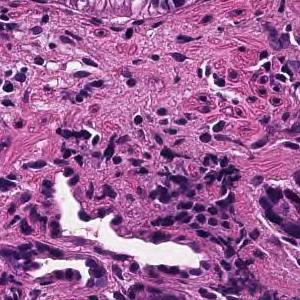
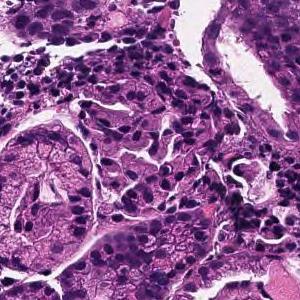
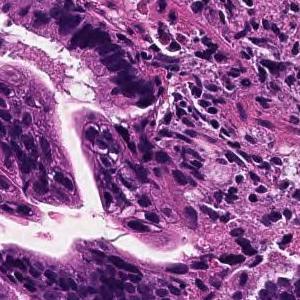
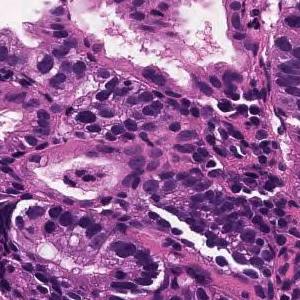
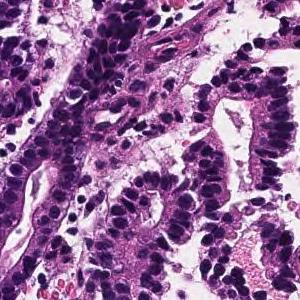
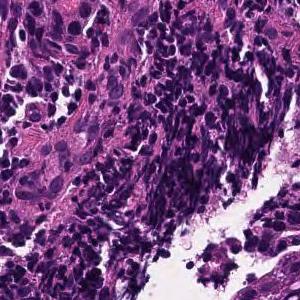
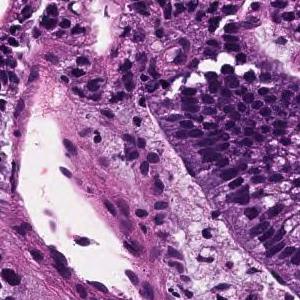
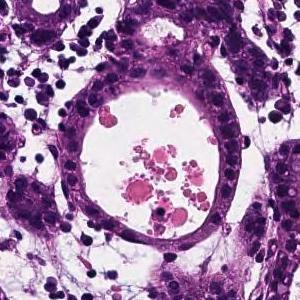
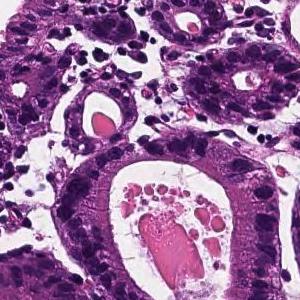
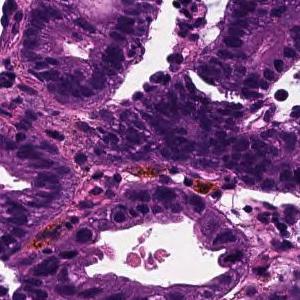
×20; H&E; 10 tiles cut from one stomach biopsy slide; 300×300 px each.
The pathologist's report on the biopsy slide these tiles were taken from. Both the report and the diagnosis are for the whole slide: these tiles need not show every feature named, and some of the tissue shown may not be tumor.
From the superficial epithelium to the muscularis mucosae, tumor tissue consisting of medium-sized and irregular glandular ducts infiltrating is observed. Well differentiated tubular adenocarcinoma
